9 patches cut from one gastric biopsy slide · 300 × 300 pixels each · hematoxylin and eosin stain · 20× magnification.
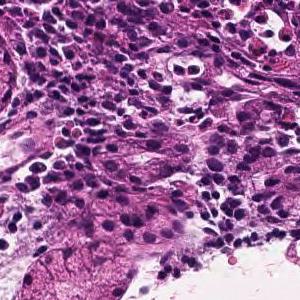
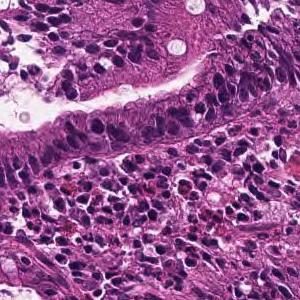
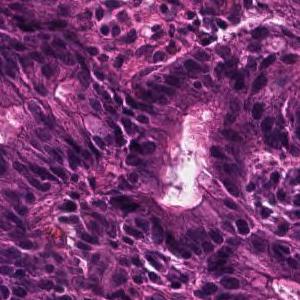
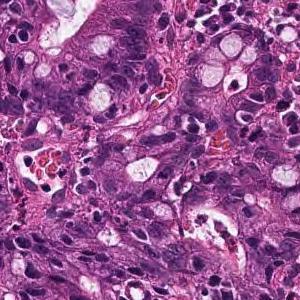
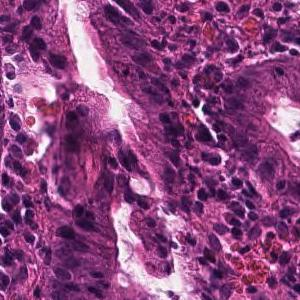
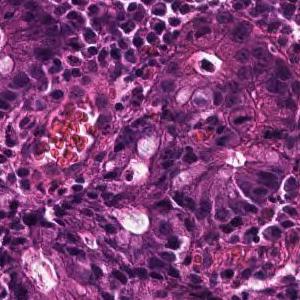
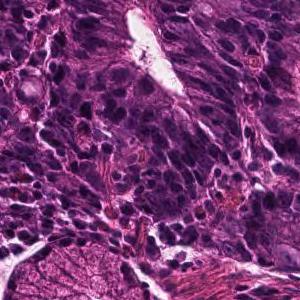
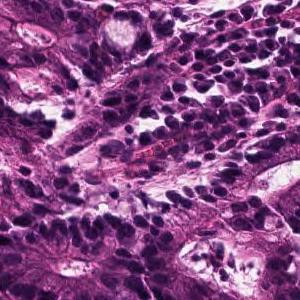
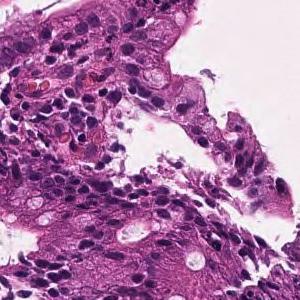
Pathology report for the biopsy slide these tiles were cut from. The report and the diagnosis cover the entire slide, so not every feature they name need be visible here, and some tissue shown may not be tumor.
In the superficial epithelium, tumor tissue that invades by forming medium-sized to small, irregular ducts is observed. moderately differentiated tubular adenocarcinoma.
